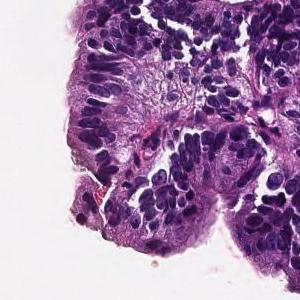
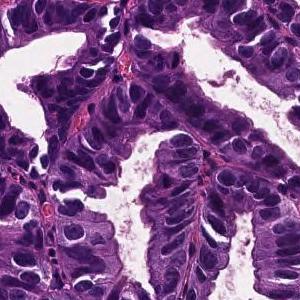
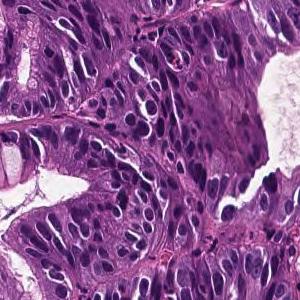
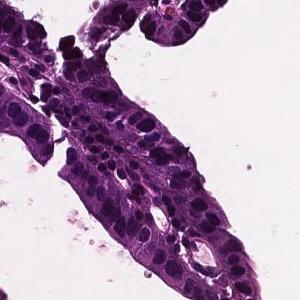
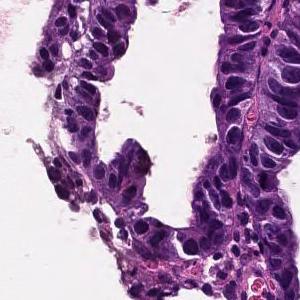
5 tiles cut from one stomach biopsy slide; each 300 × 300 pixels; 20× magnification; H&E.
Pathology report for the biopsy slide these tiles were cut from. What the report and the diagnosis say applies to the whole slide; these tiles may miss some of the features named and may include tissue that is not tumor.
From the superficial epithelium to the muscularis mucosae, tumor tissue consisting of medium-sized and irregular glandular ducts infiltrating is observed. Well differentiated tubular adenocarcinoma
